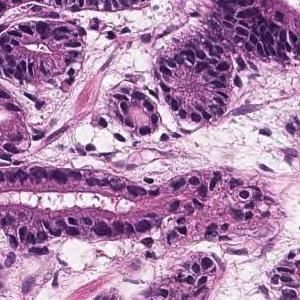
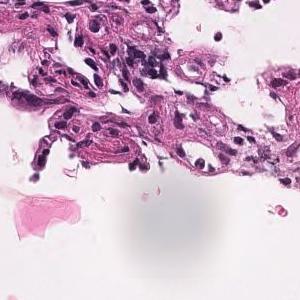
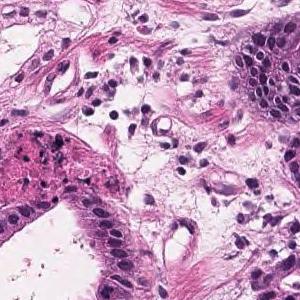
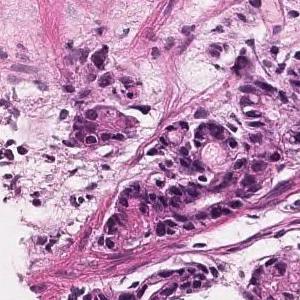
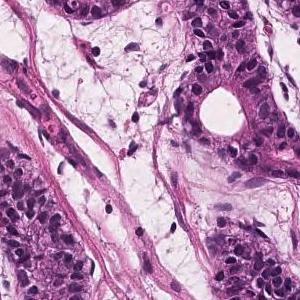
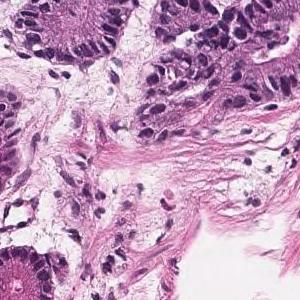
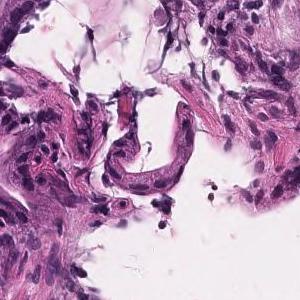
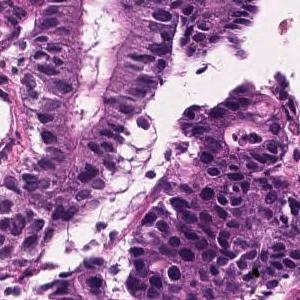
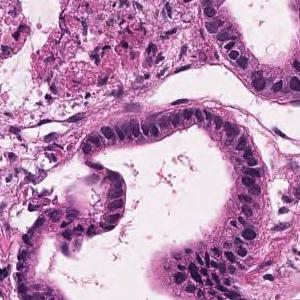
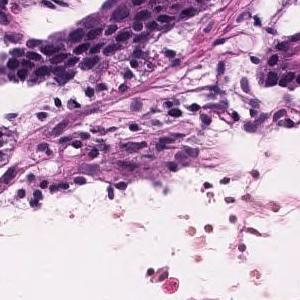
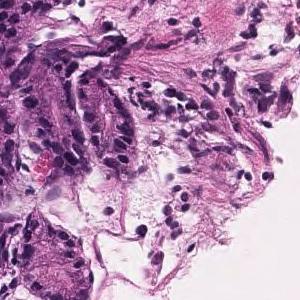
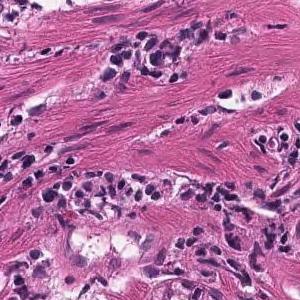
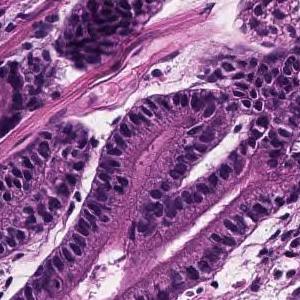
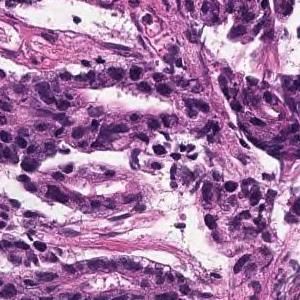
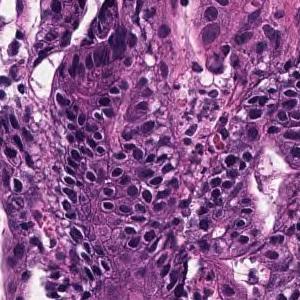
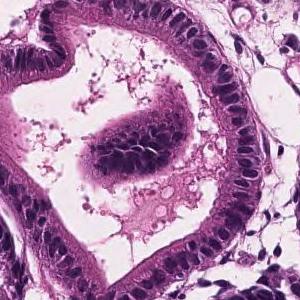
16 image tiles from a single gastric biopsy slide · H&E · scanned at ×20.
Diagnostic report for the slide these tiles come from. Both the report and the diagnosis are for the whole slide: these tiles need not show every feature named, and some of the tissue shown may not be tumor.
Tumor tissue with atypical epithelium showing irregular ductal or sieving ductal structure and proliferating is observed. Well to moderately differentiated tubular adenocarcinoma (well differentiated tubular adenocarcinoma-moderately differentiated tubular adenocarcinoma)
Tumor subtype: well to moderately differentiated tubular adenocarcinoma.
